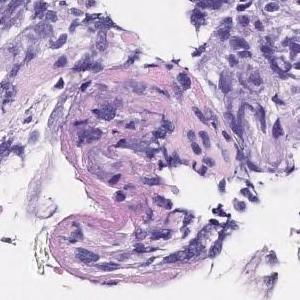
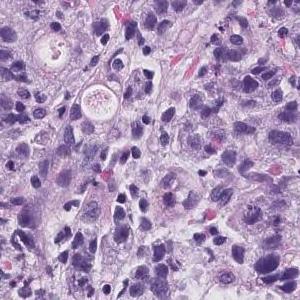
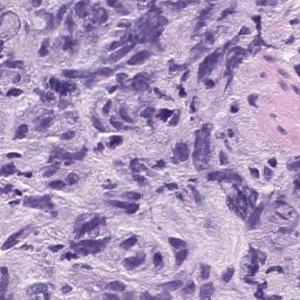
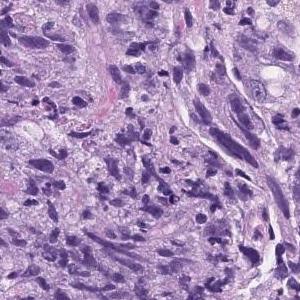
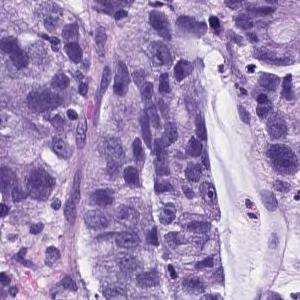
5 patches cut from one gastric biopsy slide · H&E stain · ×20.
Report on the slide these tiles come from. The report and the diagnosis describe the slide as a whole, so these tiles may not show every feature named and may include non-tumor tissue.
Atypical l cells with atypical nuclei forming solid vesicles or small irregular atypical ducts that proliferate in a complex manner. poorly differentiated adenocarcinoma, solid type, moderately differentiated tubular adenocarcinoma
"Solid type" is a category of the Japanese Classification of Gastric Carcinoma; in the WHO 2019 classification it is tubular adenocarcinoma, poorly differentiated.
